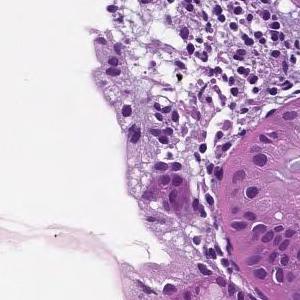
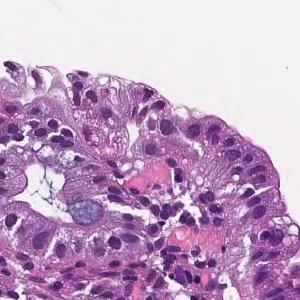
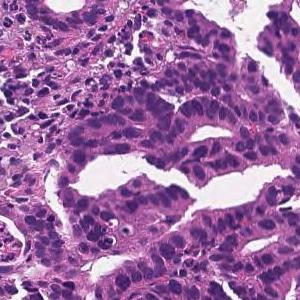
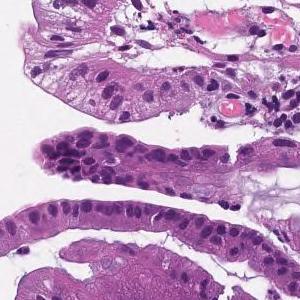
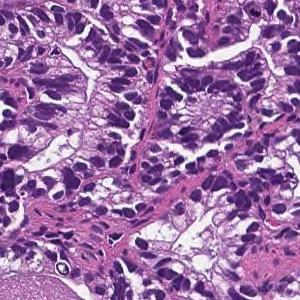
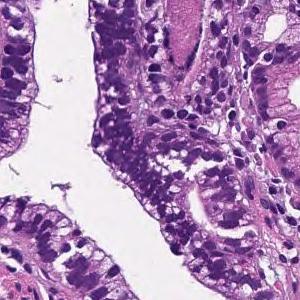
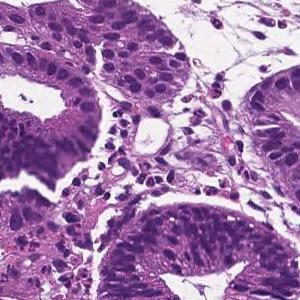
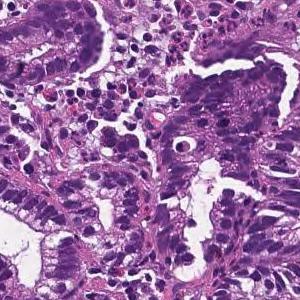
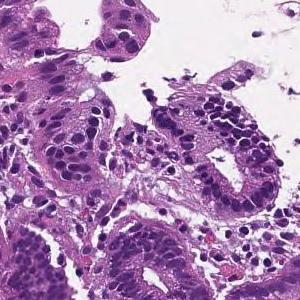
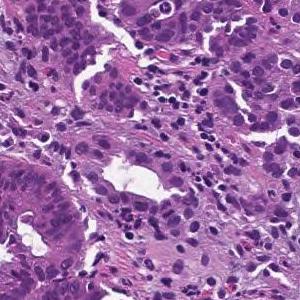
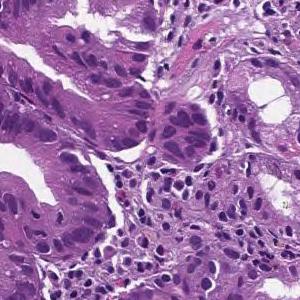
H&E stain, scanned at ×20, 11 tiles from the same stomach biopsy slide.
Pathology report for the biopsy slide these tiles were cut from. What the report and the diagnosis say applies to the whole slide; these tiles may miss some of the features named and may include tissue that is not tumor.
From the superficial epithelium to the muscularis mucosae, tumor tissue consisting of medium-sized and irregular glandular ducts infiltrating is observed. Well differentiated tubular adenocarcinoma
